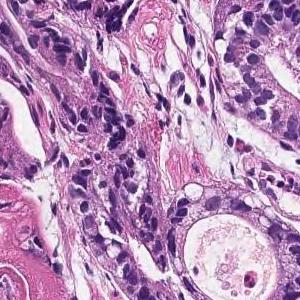
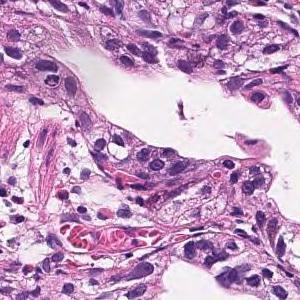
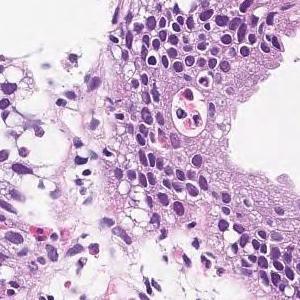
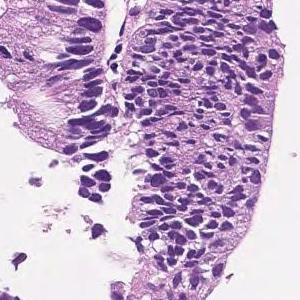
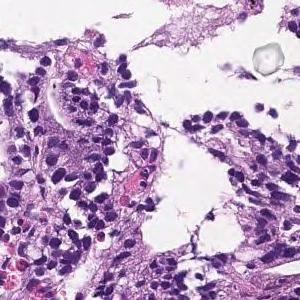
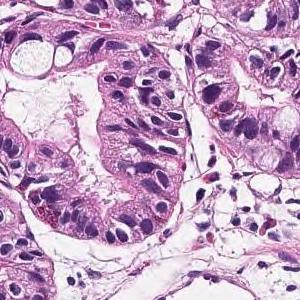
Hematoxylin and eosin stain; 6 patches cut from one gastric biopsy slide.
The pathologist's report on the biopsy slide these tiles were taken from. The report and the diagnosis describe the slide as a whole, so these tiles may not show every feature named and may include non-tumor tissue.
In the superficial epithelium, tumor tissue that invades by forming medium-sized to small, irregular ducts is observed. Moderately differentiated adenocarcinoma.
Classified as moderately differentiated tubular adenocarcinoma.
